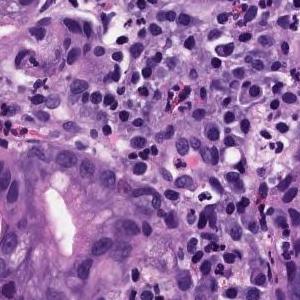
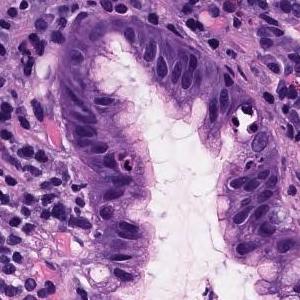
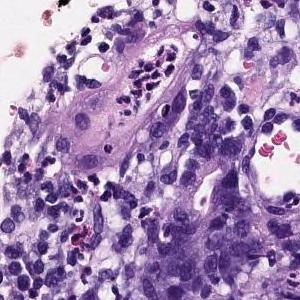
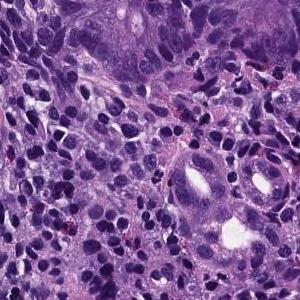
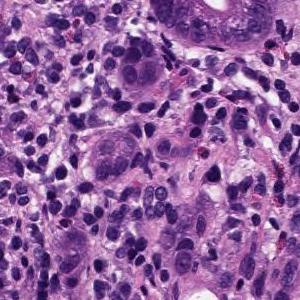
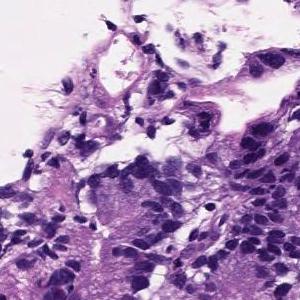
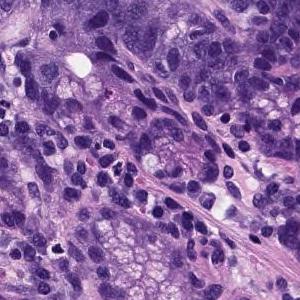
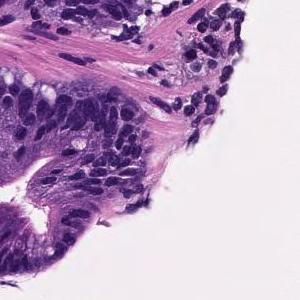
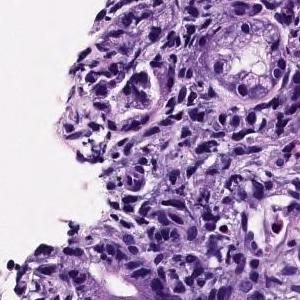
H&E stain; 9 patches cut from one gastric biopsy slide.
Report on the slide these tiles come from. What the report and the diagnosis say applies to the whole slide; these tiles may miss some of the features named and may include tissue that is not tumor.
Medium to small, irregular glandular ducts are formed in the superficial epithelium, and in some cases, the glandular ducts are fused to show solid alveolar lesions and infiltrating tumor tissue is observed. Moderately to poorly differentiated adenocarcinoma.
